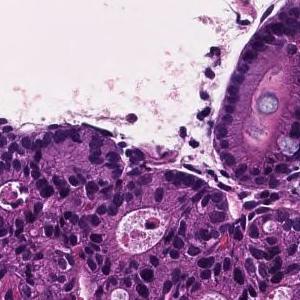
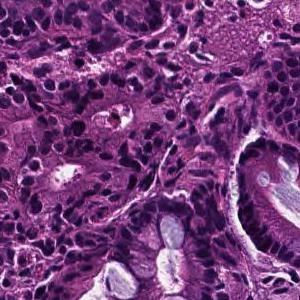
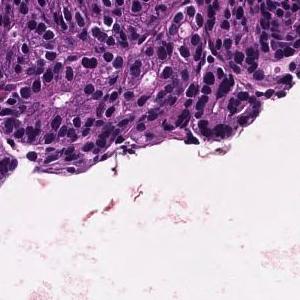
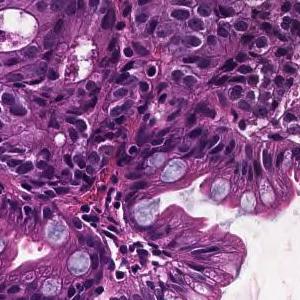
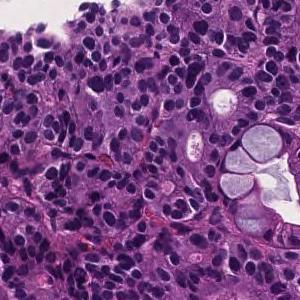
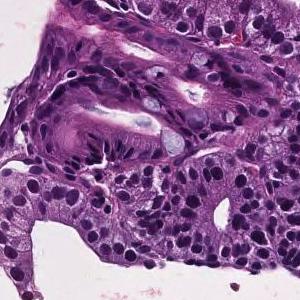
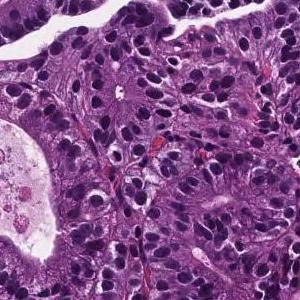
7 patches cut from one gastric biopsy slide · 20× magnification · H&E.
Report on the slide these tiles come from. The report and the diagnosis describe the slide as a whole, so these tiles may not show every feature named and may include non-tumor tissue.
In the superficial epithelium, tumor tissue that invades by forming medium-sized to small, irregular ducts is observed. moderately differentiated tubular adenocarcinoma.
